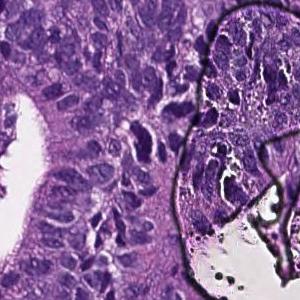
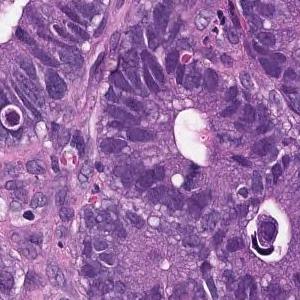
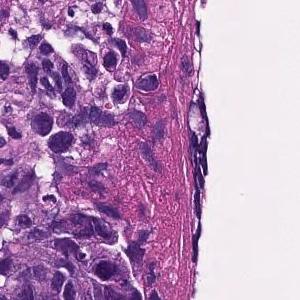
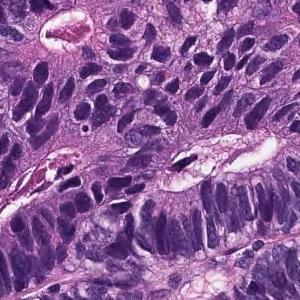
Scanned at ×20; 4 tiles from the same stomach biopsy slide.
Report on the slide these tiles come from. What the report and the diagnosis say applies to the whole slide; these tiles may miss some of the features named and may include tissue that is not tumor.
In the superficial epithelium, tumor tissue that invades by forming medium-sized to small, irregular ducts is observed. moderately differentiated tubular adenocarcinoma.
